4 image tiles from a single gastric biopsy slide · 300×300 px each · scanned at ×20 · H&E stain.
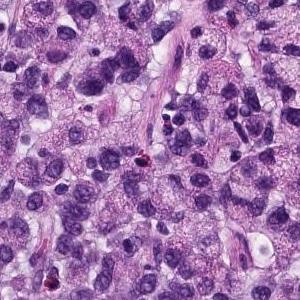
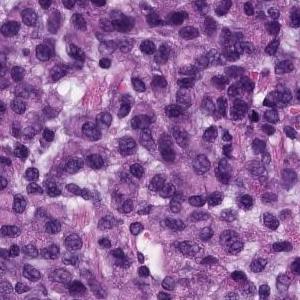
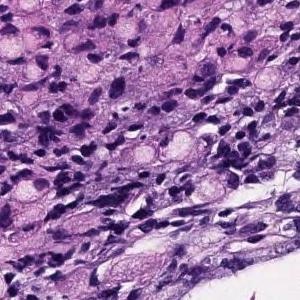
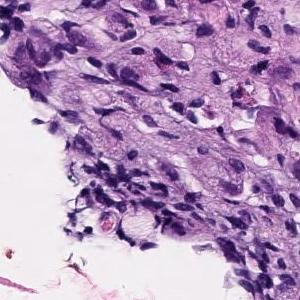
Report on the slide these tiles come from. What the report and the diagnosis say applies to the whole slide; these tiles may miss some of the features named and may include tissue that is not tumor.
The superficial epithelium shows a large sheet-like shape, and some tumor tissue infiltrates with small irregular ducts. Poorly differentiated adenocarcinoma, solid-type
Tumor subtype: poorly differentiated adenocarcinoma, solid type, a category of the Japanese Classification of Gastric Carcinoma; in the WHO 2019 classification it is tubular adenocarcinoma, poorly differentiated.
